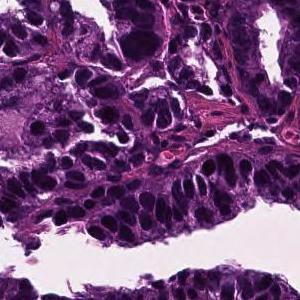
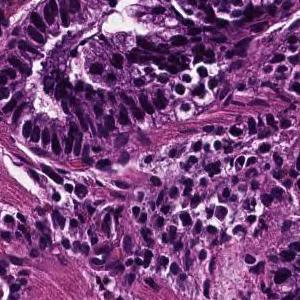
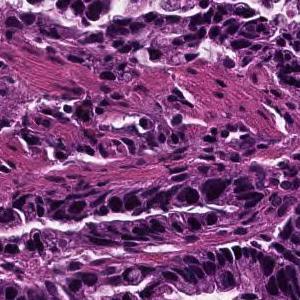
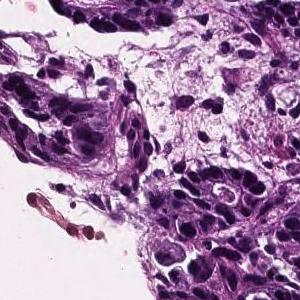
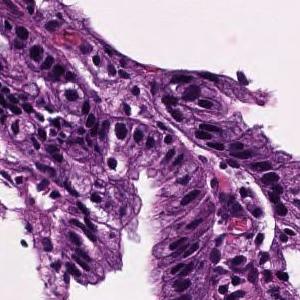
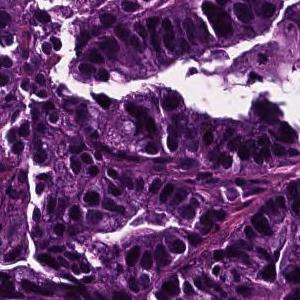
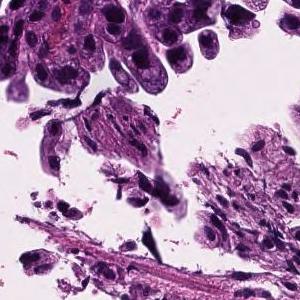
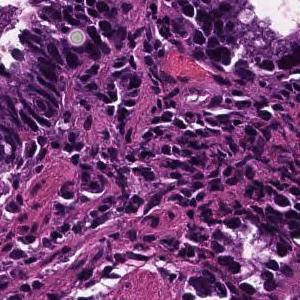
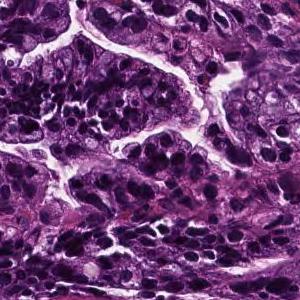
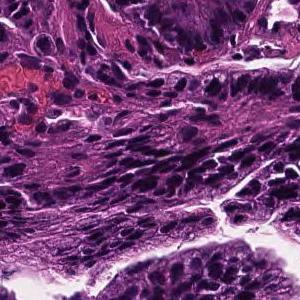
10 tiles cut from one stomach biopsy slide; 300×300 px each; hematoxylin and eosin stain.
The pathologist's report on the biopsy slide these tiles were taken from. The report and the diagnosis describe the slide as a whole, so these tiles may not show every feature named and may include non-tumor tissue.
In the superficial epithelium, tumor tissue that invades by forming medium-sized to small, irregular ducts is observed. Well differentiated tubular adenocarcinoma.
